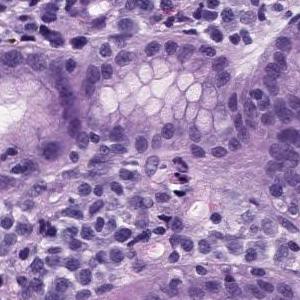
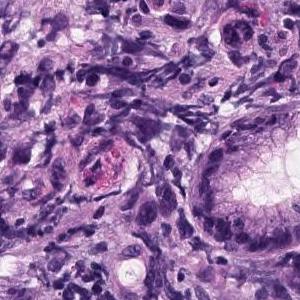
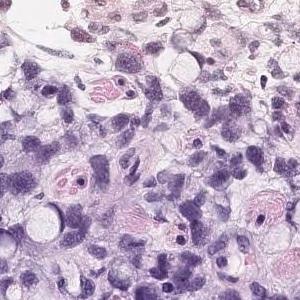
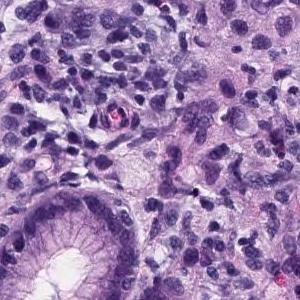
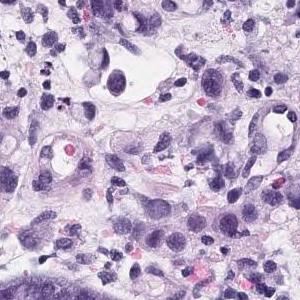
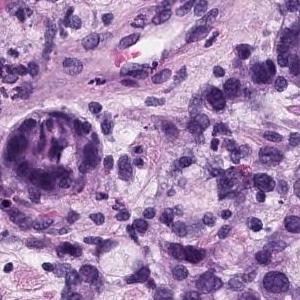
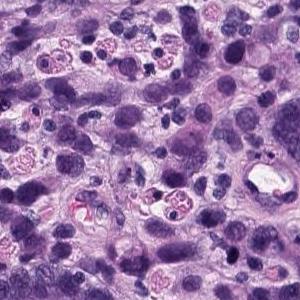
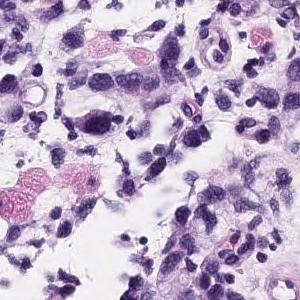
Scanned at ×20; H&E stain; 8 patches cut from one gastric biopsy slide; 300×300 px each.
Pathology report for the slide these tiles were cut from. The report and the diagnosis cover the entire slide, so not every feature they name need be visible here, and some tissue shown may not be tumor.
Group 5, Adenocarcinoma. Poorly differentiated adenocarcinoma, non-solid type
The term "non-solid type" comes from the Japanese Classification of Gastric Carcinoma.
